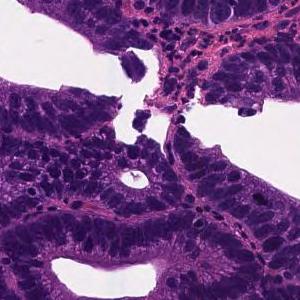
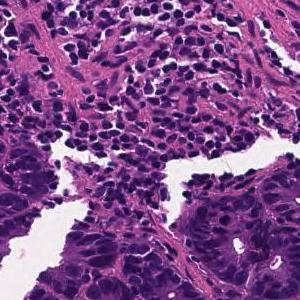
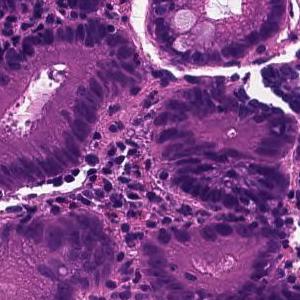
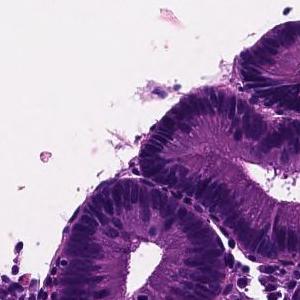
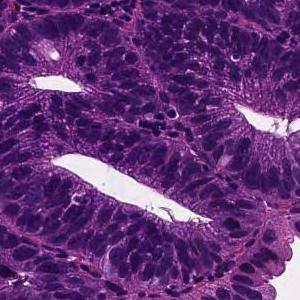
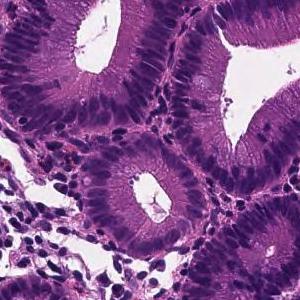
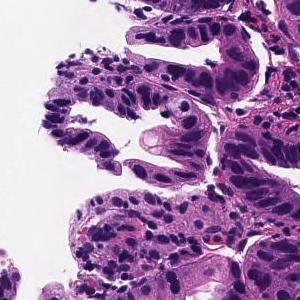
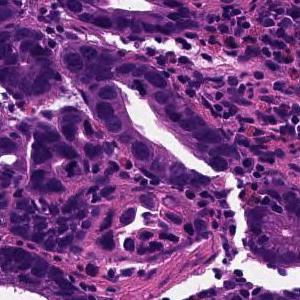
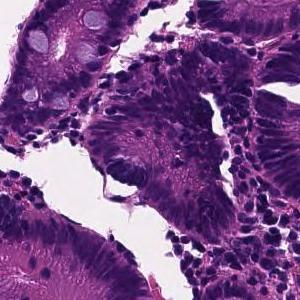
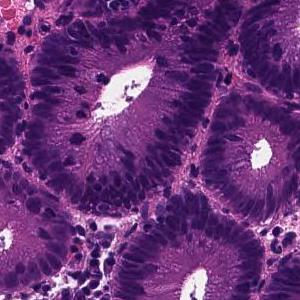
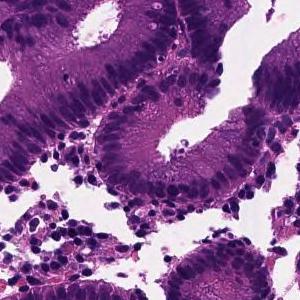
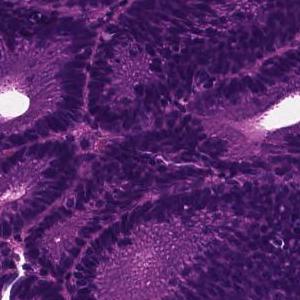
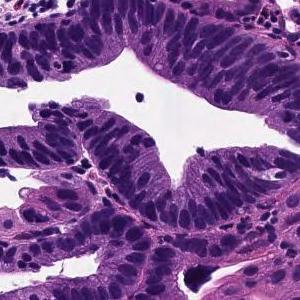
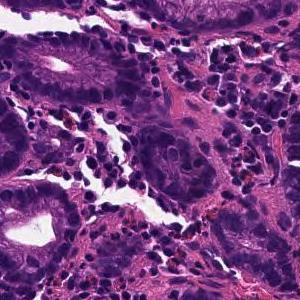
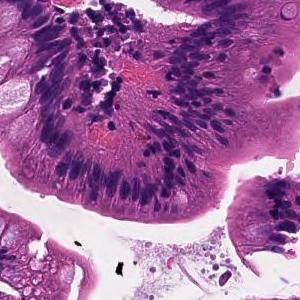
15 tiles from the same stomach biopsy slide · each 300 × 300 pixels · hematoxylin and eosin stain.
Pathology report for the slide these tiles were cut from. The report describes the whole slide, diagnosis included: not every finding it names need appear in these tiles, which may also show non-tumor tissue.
Tumor tissue in which medium to small irregular ducts infiltrate and proliferate in the submucosa can be seen in the epithelium. Well differentiated tubular adenocarcinoma
